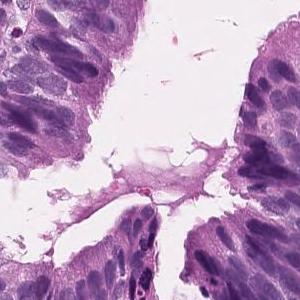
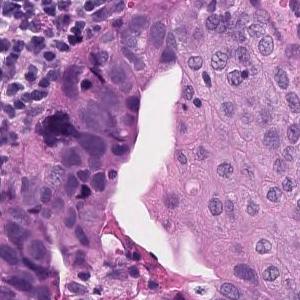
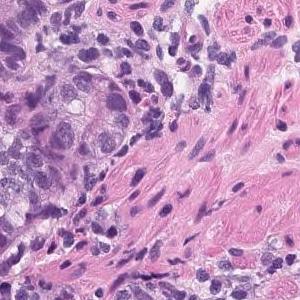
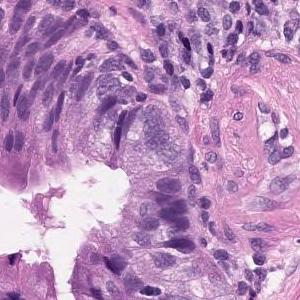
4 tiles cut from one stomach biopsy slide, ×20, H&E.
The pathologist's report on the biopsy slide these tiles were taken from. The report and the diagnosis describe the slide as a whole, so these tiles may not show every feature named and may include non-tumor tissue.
Tumor tissue consisting of medium-sized and irregular ducts is observed infiltrating in the superficial epithelium. Tumor cells are highly columnar, with nuclei aligned basolaterally and polarized. Well differentiated tubular adenocarcinoma.
